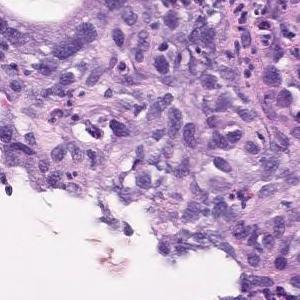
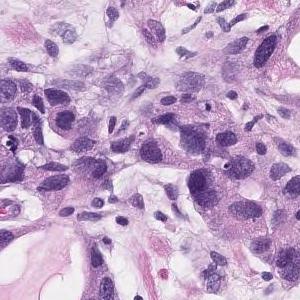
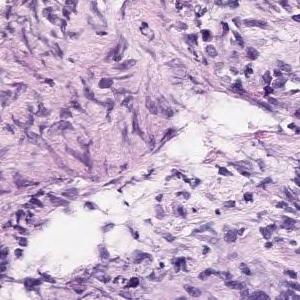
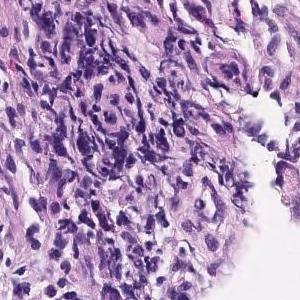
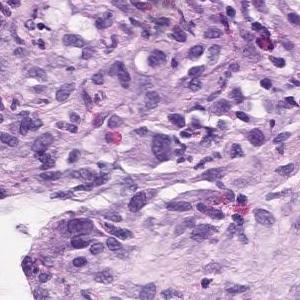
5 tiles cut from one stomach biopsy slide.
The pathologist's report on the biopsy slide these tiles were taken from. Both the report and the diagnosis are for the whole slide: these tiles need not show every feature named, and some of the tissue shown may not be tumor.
Group 5, Adenocarcinoma. Moderately to poorly differentiated adenocarcinoma
